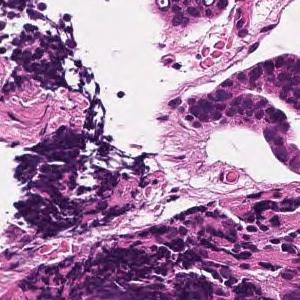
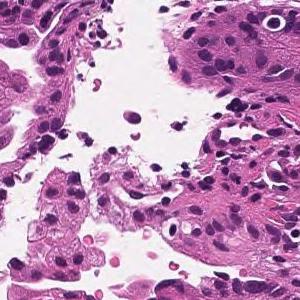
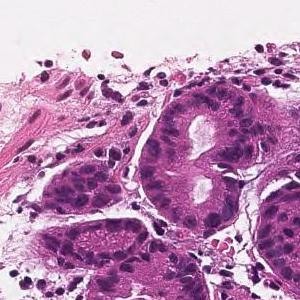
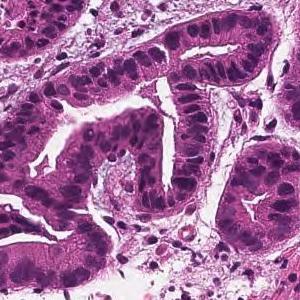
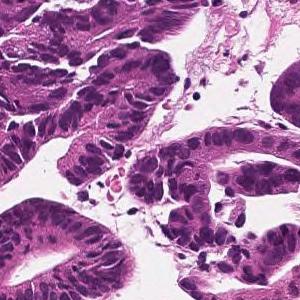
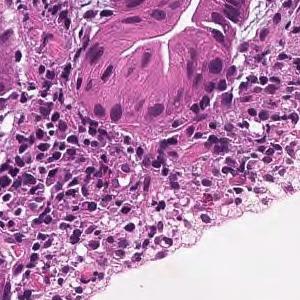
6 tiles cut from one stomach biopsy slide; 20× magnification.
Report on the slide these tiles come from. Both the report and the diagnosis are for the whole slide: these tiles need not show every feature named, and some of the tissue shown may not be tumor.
From the superficial epithelium to the muscularis mucosae, tumor tissue consisting of medium-sized and irregular glandular ducts infiltrating is observed. Well differentiated tubular adenocarcinoma
